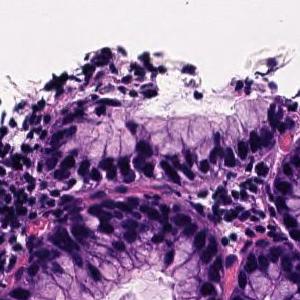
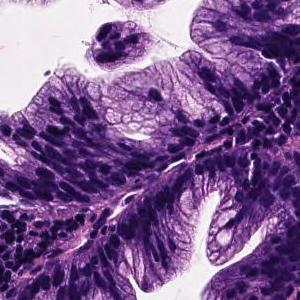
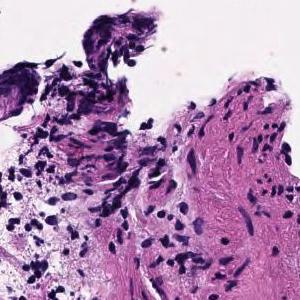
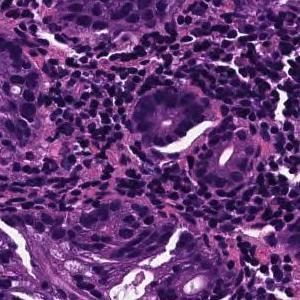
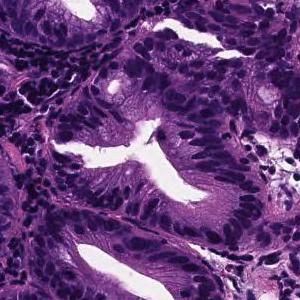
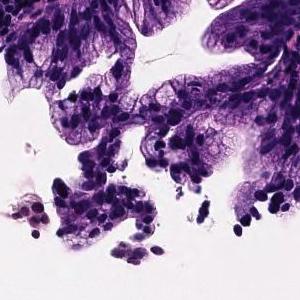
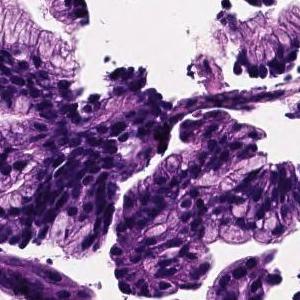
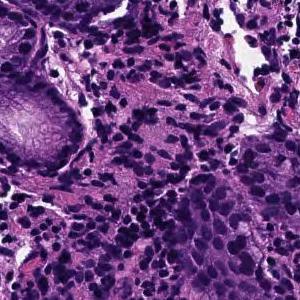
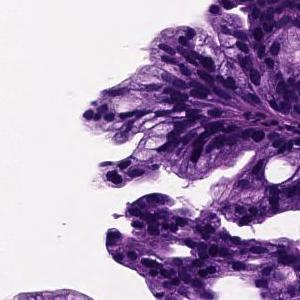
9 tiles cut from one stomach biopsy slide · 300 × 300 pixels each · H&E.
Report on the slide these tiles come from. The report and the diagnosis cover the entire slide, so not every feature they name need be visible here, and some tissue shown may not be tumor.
On the superficial epithelium, tumor tissue that infiltrates by forming medium-sized papillary or small irregular ducts is observed. Papillary adenocarcinoma
